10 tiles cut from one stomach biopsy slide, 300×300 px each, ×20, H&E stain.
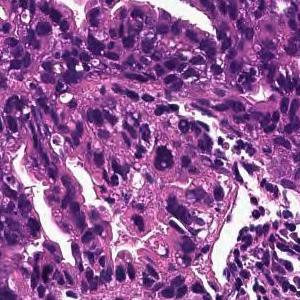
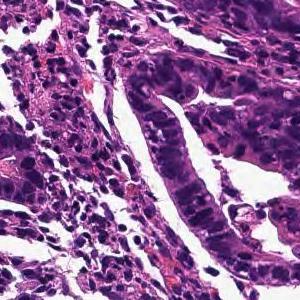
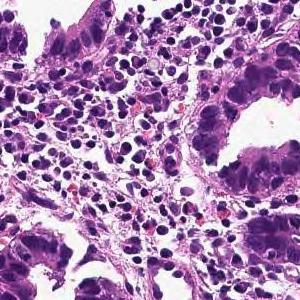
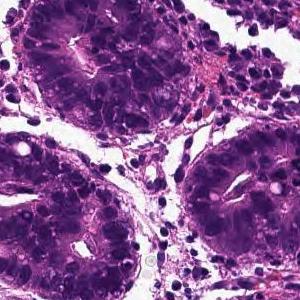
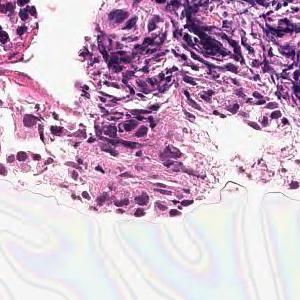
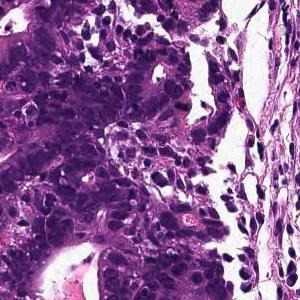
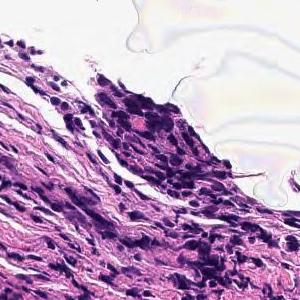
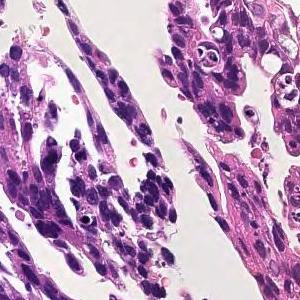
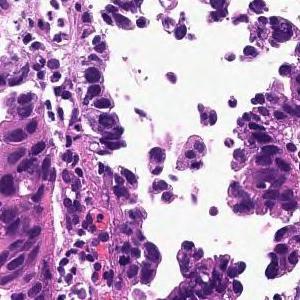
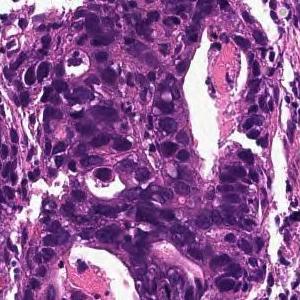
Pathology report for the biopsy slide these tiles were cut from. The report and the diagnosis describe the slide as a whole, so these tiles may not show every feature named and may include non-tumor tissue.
In the superficial epithelium, tumor tissue that invades by forming medium-sized to small, irregular ducts is observed. moderately differentiated tubular adenocarcinoma.
